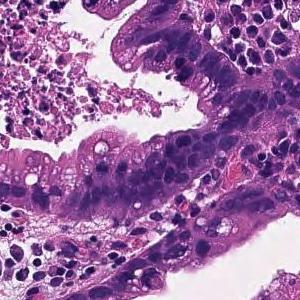
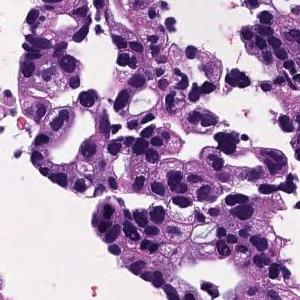
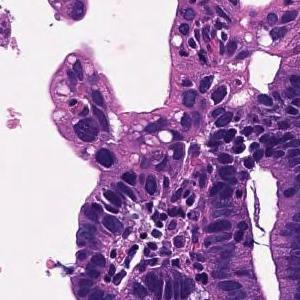
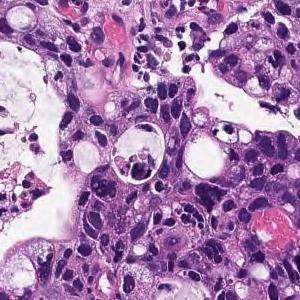
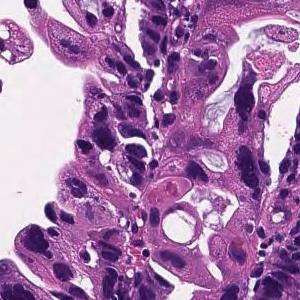
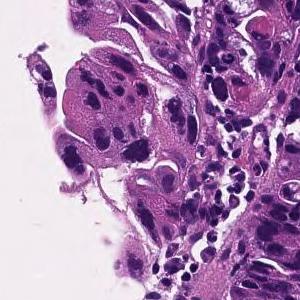
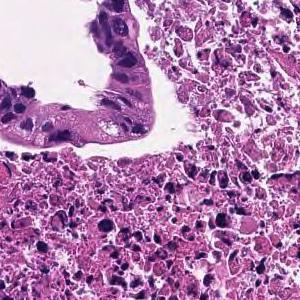
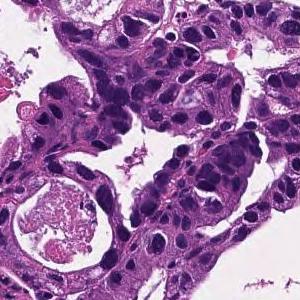
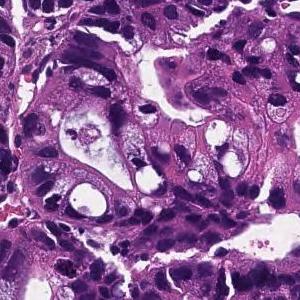
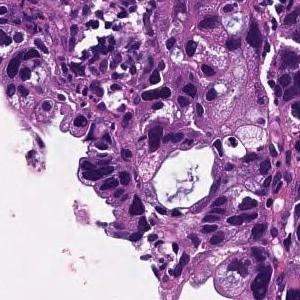
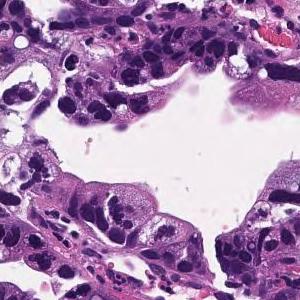
11 tiles from the same stomach biopsy slide · 300×300 px each · scanned at ×20 · hematoxylin and eosin stain.
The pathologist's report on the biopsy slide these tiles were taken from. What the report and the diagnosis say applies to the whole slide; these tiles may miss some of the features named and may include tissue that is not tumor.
In the superficial epithelium, tumor tissue that invades by forming medium-sized to small, irregular ducts is observed. moderately differentiated tubular adenocarcinoma.
